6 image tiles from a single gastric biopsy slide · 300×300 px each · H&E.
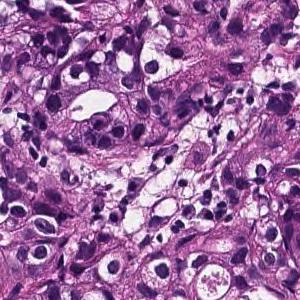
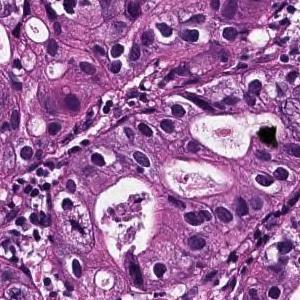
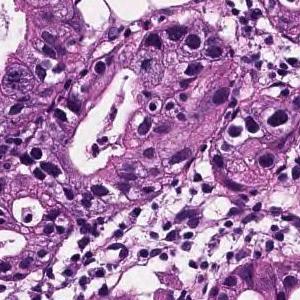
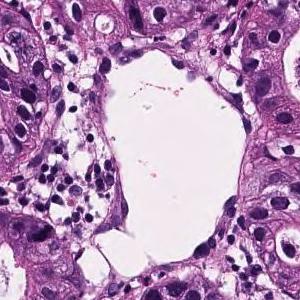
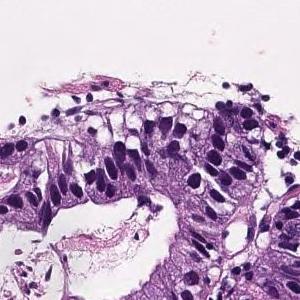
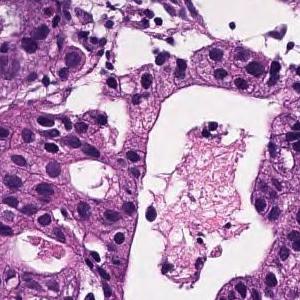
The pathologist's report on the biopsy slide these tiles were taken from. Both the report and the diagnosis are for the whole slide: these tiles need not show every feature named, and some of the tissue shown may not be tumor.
From the superficial epithelium to the muscularis mucosae, tumor tissue infiltrating by forming medium-sized irregular gland ducts is observed. Large tumor cells exhibit large nucleus and hyperchromatism. Well differentiated tubular adenocarcinoma
